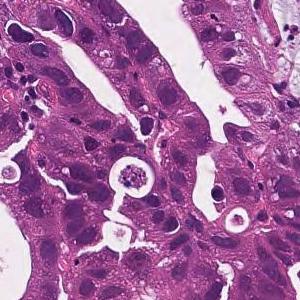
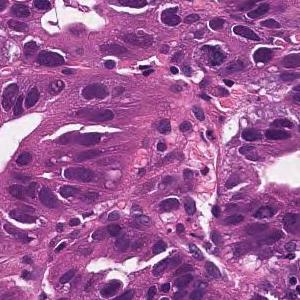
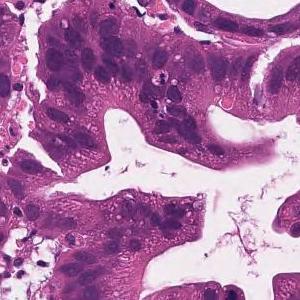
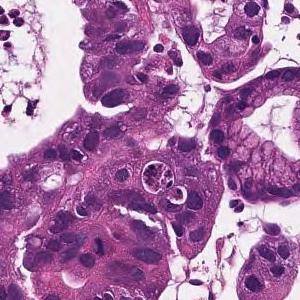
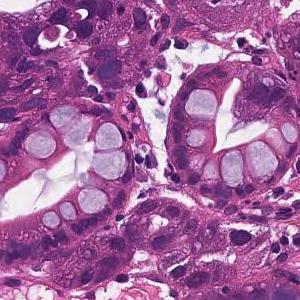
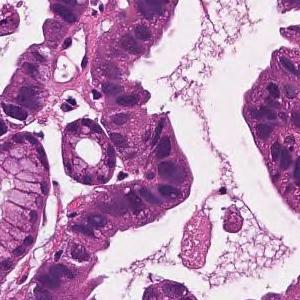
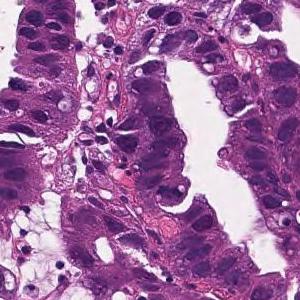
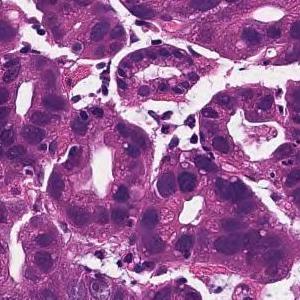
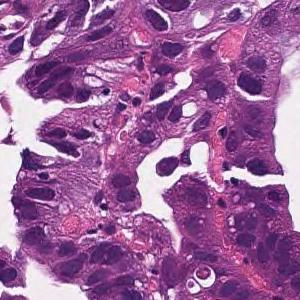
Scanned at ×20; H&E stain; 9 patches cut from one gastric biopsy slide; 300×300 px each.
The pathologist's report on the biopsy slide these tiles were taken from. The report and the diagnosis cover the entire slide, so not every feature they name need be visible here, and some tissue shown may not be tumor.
In the superficial epithelium, tumor tissue that invades by forming medium-sized to small, irregular ducts is observed. moderately differentiated tubular adenocarcinoma.
